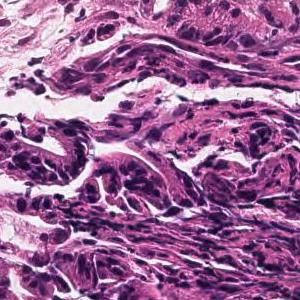
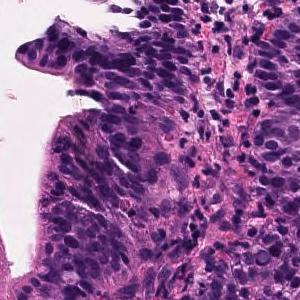
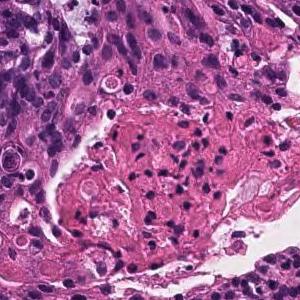
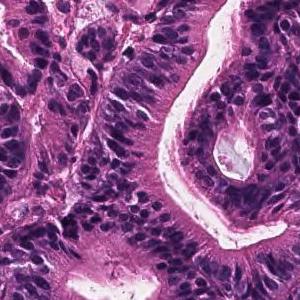
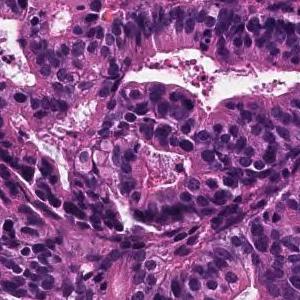
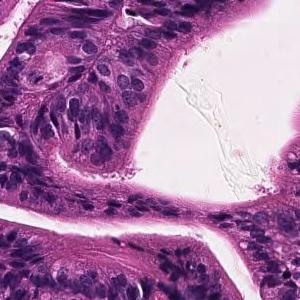
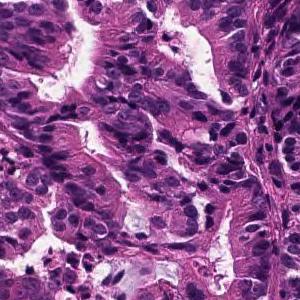
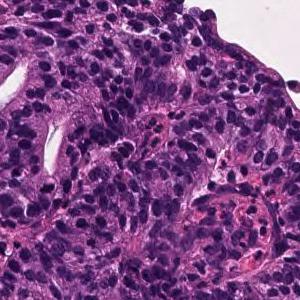
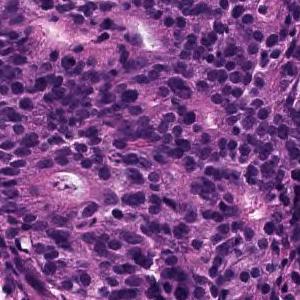
H&E stain; 9 tiles cut from one stomach biopsy slide; 300×300 px each.
Pathology report for the biopsy slide these tiles were cut from. What the report and the diagnosis say applies to the whole slide; these tiles may miss some of the features named and may include tissue that is not tumor.
In the superficial epithelium, tumor tissue that invades by forming medium-sized to small, irregular ducts is observed. Moderately differentiated adenocarcinoma.
Subtype: Moderately differentiated tubular adenocarcinoma.
